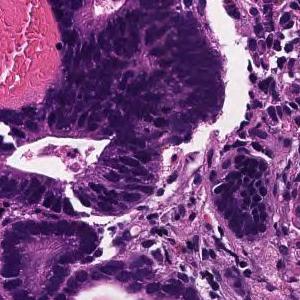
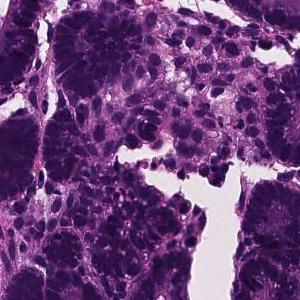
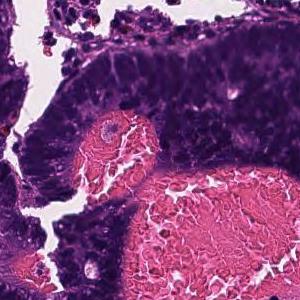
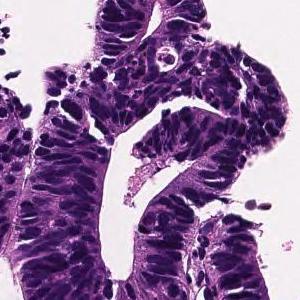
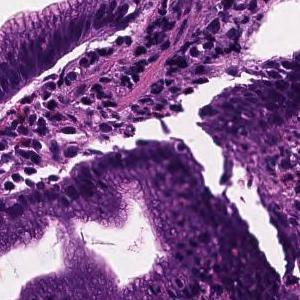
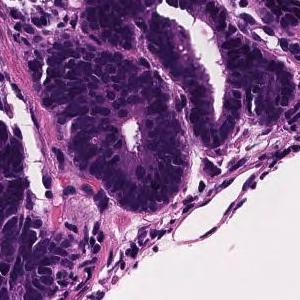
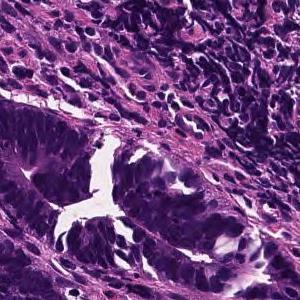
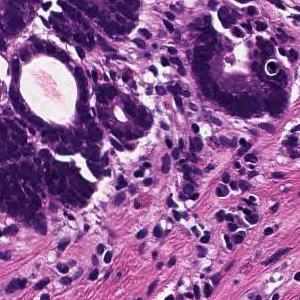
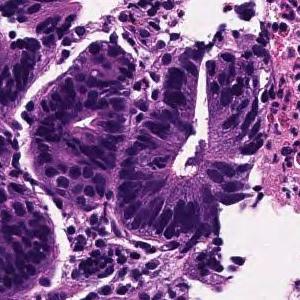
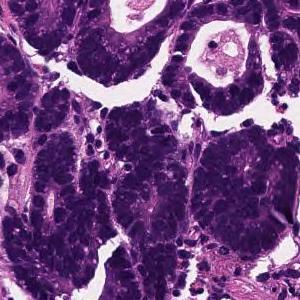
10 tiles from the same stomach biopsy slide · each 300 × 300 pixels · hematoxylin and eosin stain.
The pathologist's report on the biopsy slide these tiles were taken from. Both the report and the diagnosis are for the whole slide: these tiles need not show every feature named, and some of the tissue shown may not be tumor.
On the superficial epithelium, tumor tissue consisting of medium-sized and irregular glandular ducts partially fused and infiltrated is observed. Well to moderately differentiated tubular adenocarcinoma (well differentiated tubular adenocarcinoma, moderately differentiated tubular adenocarcinoma)
Histologic type: Well to moderately differentiated tubular adenocarcinoma.
